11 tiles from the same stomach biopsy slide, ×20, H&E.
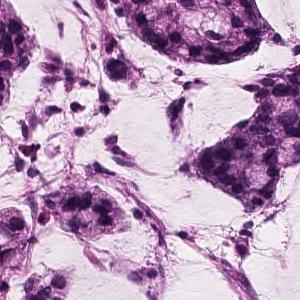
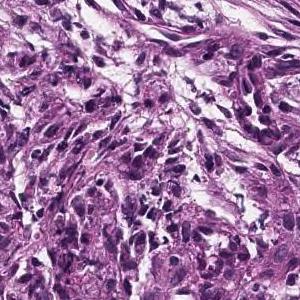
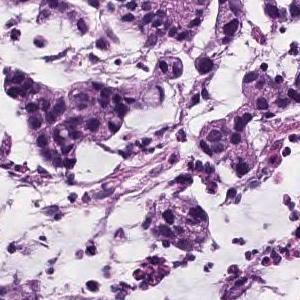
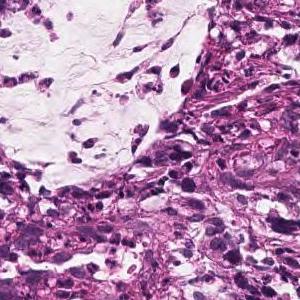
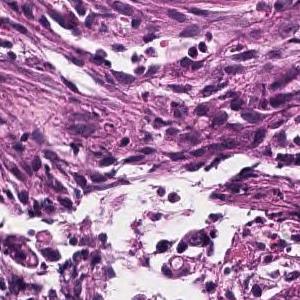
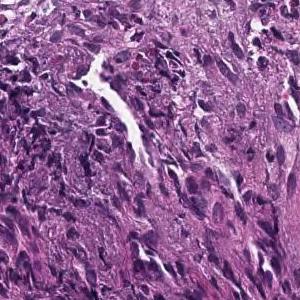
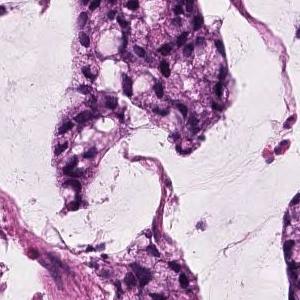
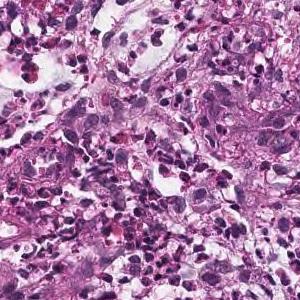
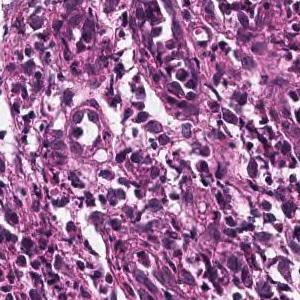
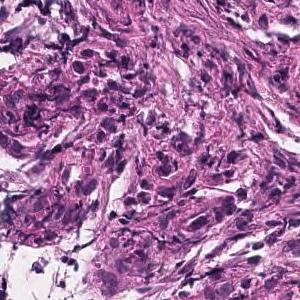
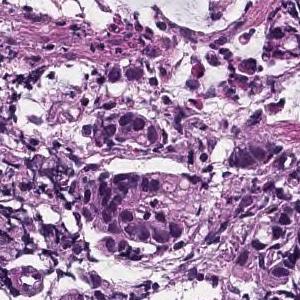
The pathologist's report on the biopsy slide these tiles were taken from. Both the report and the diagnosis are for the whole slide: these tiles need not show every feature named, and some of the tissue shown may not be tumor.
Atypical epithelial cells form obscure ductal structures or small solid follicles, and tumor tissue that proliferates invasively with proliferation of inflammatory granulation tissue is observed. Mucinous adenocarcinoma .
